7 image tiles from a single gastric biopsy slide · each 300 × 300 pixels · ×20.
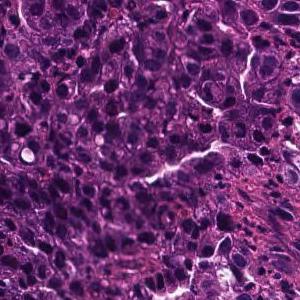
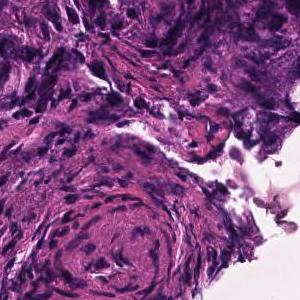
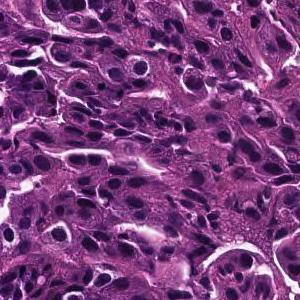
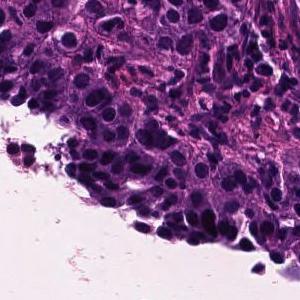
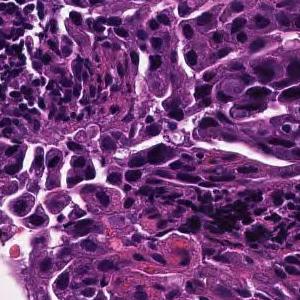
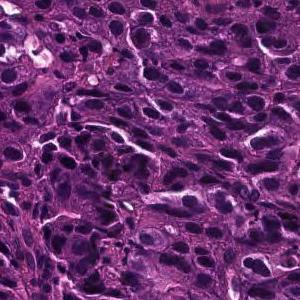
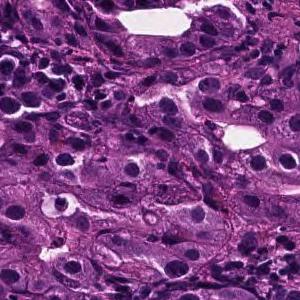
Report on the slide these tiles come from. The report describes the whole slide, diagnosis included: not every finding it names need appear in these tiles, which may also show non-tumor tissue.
Tumor tissue consisting of medium-sized, cord-like or irregular glandular fusion and infiltration is observed in the superficial epithelium. Poorly differentiated adenocarcinoma, non-solid type or moderately differentiated tubular adenocarcinoma
Subtype: Moderately to poorly differentiated adenocarcinoma.
"Non-solid type" is a category of the Japanese Classification of Gastric Carcinoma.
